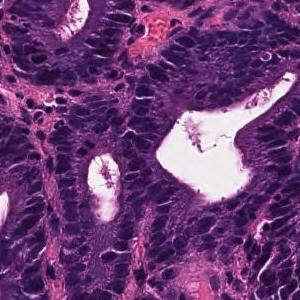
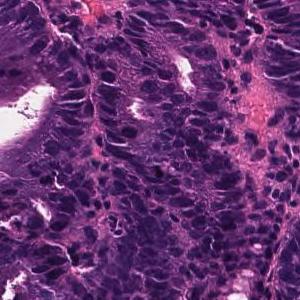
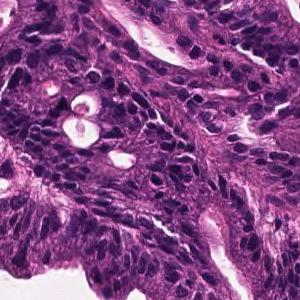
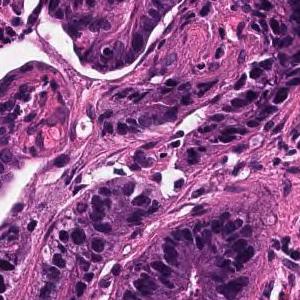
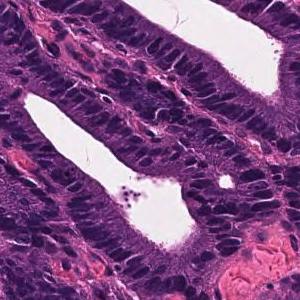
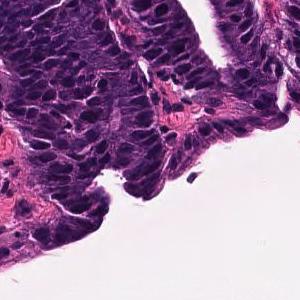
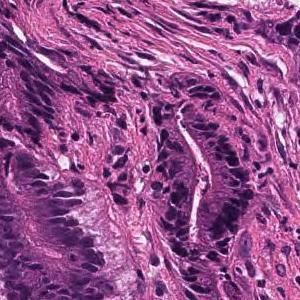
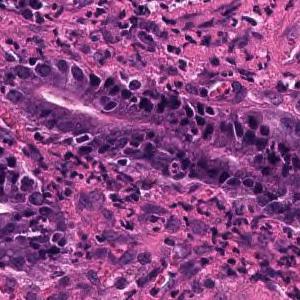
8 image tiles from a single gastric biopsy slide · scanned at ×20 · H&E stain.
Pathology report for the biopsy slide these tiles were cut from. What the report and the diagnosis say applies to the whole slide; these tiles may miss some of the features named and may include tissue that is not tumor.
Tumor tissue that remains within the superficial epithelium and is infiltrated by large papillary or irregular ducts that fuse with each other is observed. Well differentiated tubular adenocarcinoma
